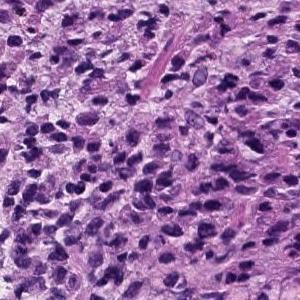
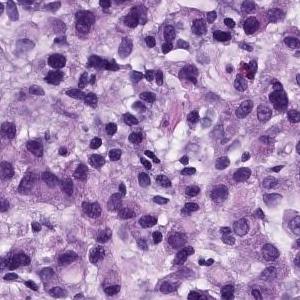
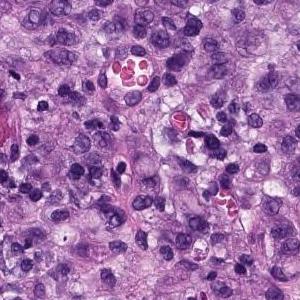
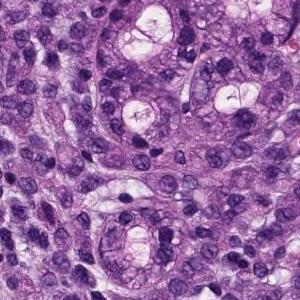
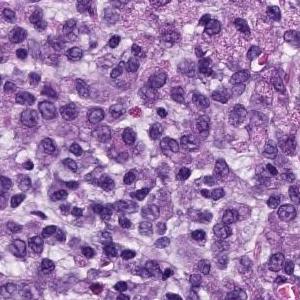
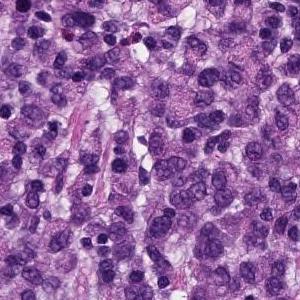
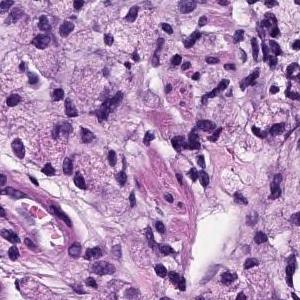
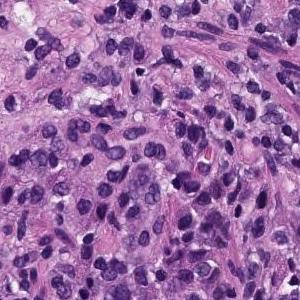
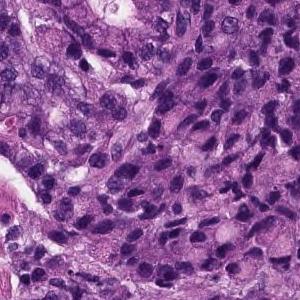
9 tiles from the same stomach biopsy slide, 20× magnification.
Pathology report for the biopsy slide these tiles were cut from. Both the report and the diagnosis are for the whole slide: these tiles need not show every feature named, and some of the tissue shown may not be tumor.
The superficial epithelium shows a large sheet-like shape, and some tumor tissue infiltrates with small irregular ducts. Poorly differentiated adenocarcinoma, solid-type
Histological subtype: Poorly differentiated adenocarcinoma, solid type (Japanese Classification of Gastric Carcinoma). The WHO 2019 equivalent is tubular adenocarcinoma, poorly differentiated.
